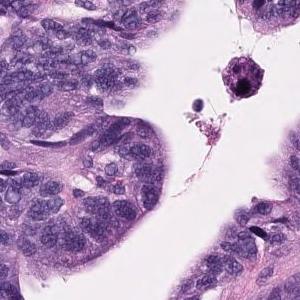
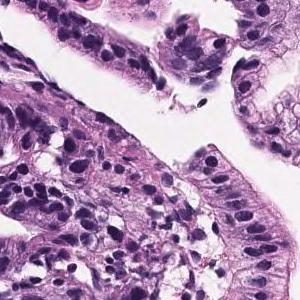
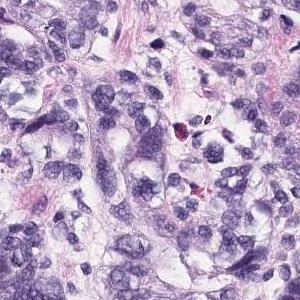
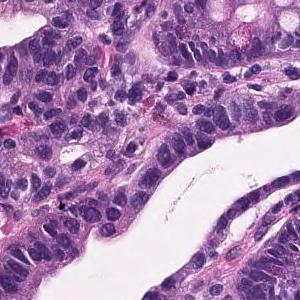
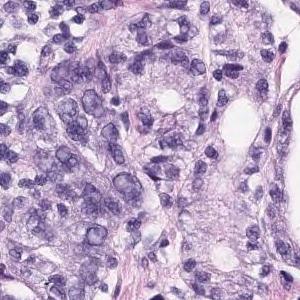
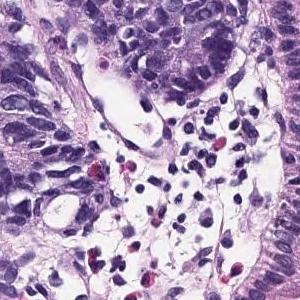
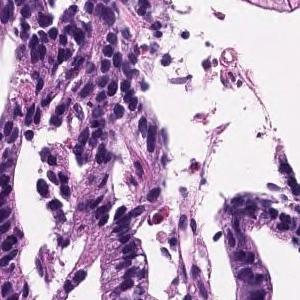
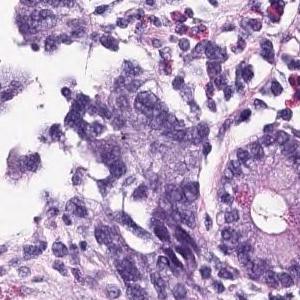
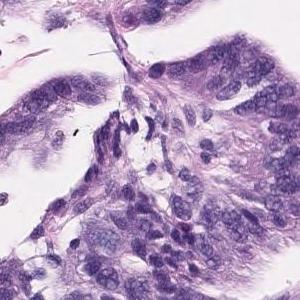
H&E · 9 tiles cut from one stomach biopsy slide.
Diagnostic report for the slide these tiles come from. The report describes the whole slide, diagnosis included: not every finding it names need appear in these tiles, which may also show non-tumor tissue.
Tumor cells are large, highly columnar, large club-shaped nuclei, and are associated with chromatin aggregation. Papillary adenocarcinoma.
